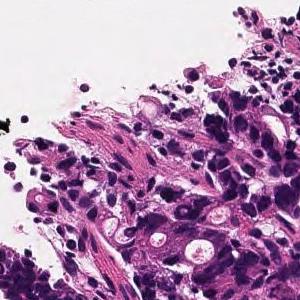
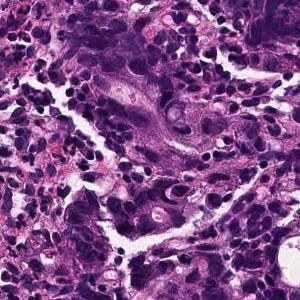
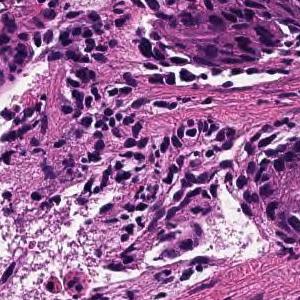
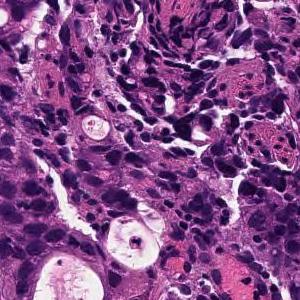
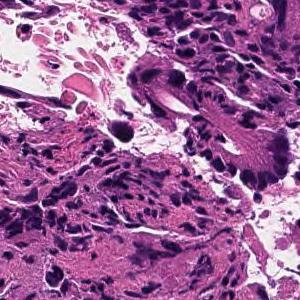
H&E, scanned at ×20, 5 image tiles from a single gastric biopsy slide.
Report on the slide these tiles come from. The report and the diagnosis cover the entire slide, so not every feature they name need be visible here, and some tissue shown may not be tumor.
In the superficial epithelium, tumor tissue that invades by forming medium-sized to small, irregular ducts is observed. moderately differentiated tubular adenocarcinoma.
